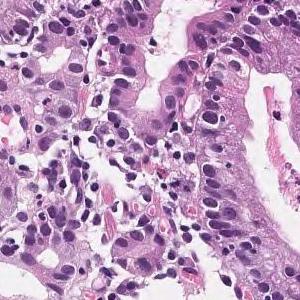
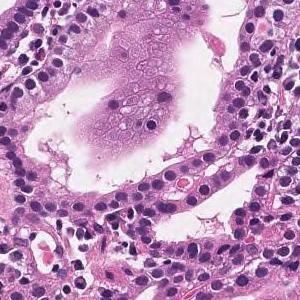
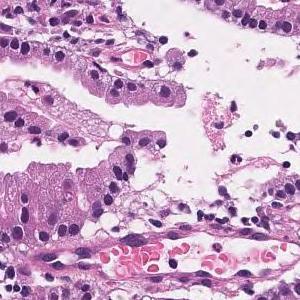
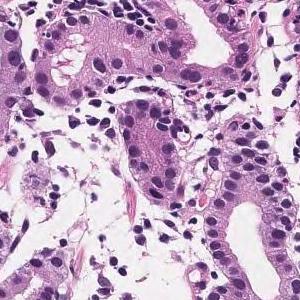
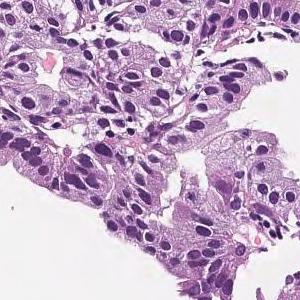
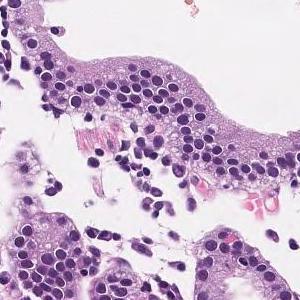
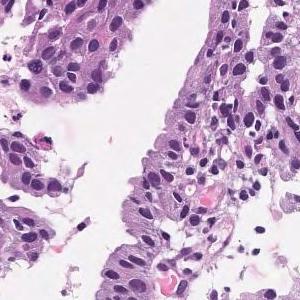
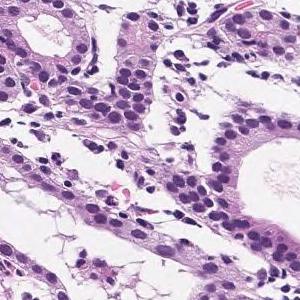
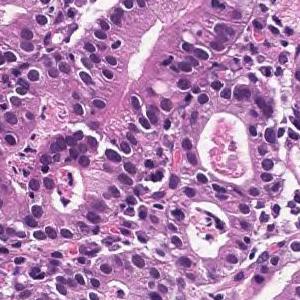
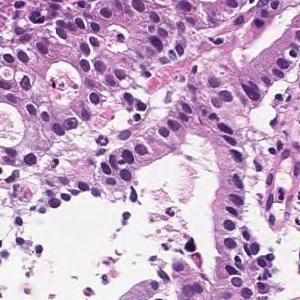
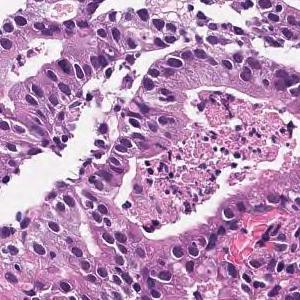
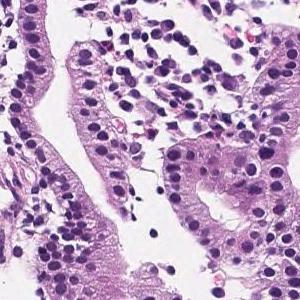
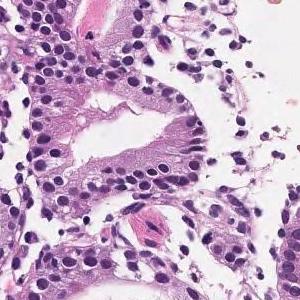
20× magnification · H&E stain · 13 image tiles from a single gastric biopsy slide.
Report on the slide these tiles come from. The report and the diagnosis describe the slide as a whole, so these tiles may not show every feature named and may include non-tumor tissue.
Medium to small, irregular glandular ducts are formed in the superficial epithelium, and in some cases, the glandular ducts are fused to show solid alveolar lesions and infiltrating tumor tissue is observed. Moderately to poorly differentiated adenocarcinoma.
